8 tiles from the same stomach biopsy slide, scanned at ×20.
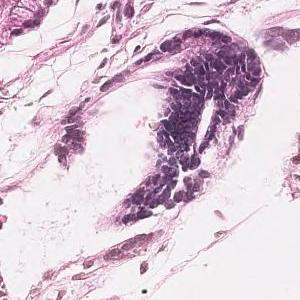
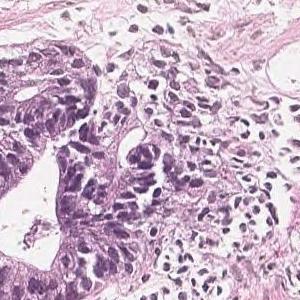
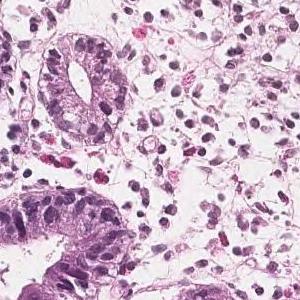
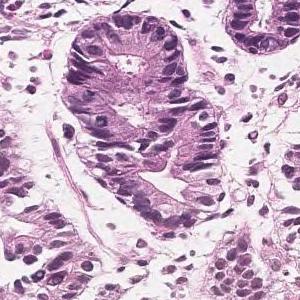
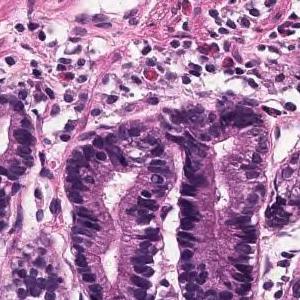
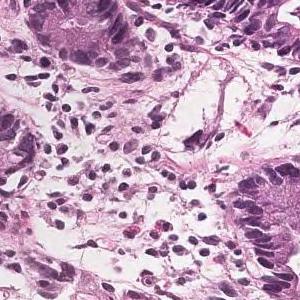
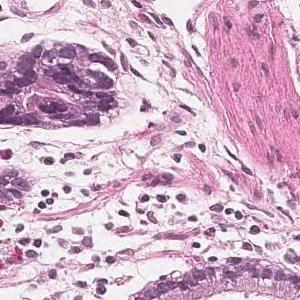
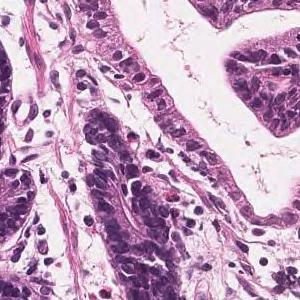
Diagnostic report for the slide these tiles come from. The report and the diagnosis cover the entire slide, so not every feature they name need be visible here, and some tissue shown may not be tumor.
Most of the tumor remains in the epithelium and shows a medium-sized circular system or irregular ducts, showing proliferating and developing tumor tissue. Well differentiated tubular adenocarcinoma
